14 tiles cut from one stomach biopsy slide; hematoxylin and eosin stain.
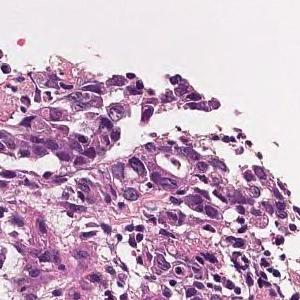
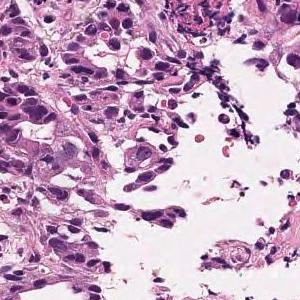
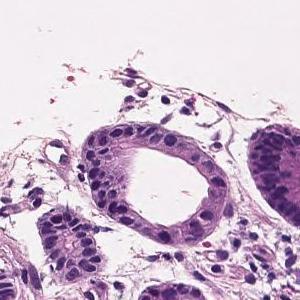
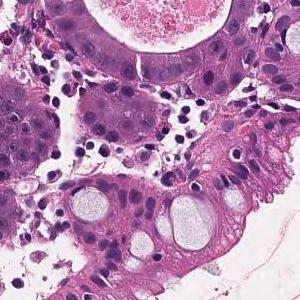
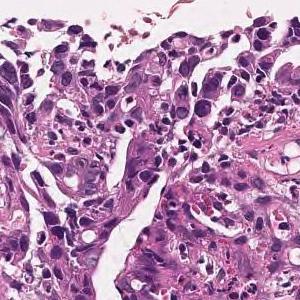
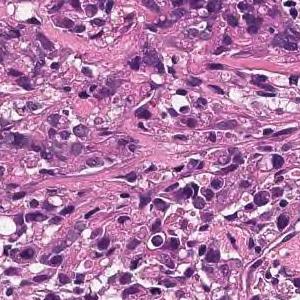
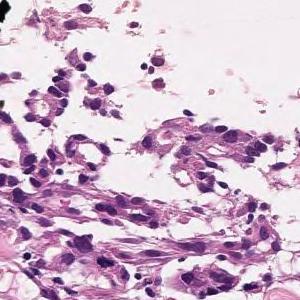
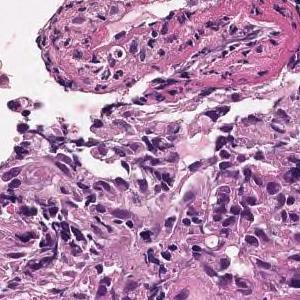
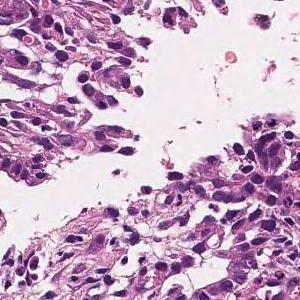
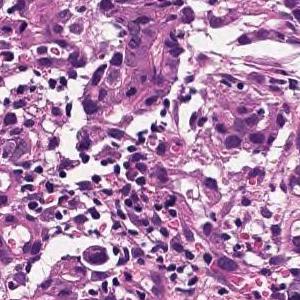
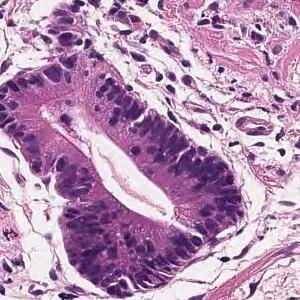
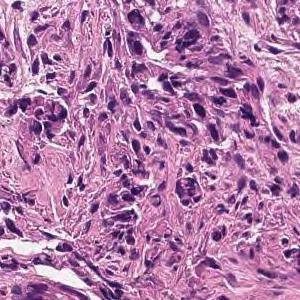
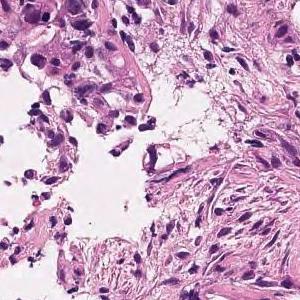
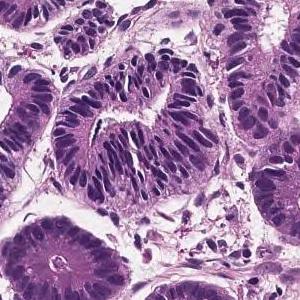
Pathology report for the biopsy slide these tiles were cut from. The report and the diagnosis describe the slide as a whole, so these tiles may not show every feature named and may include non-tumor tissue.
Tumor tissue consisting of cord-like or small, irregular glandular ducts fused and infiltrated is observed in the superficial epithelium. Poorly differentiated adenocarcinoma, non-solid type
The term "non-solid type" comes from the Japanese Classification of Gastric Carcinoma.
